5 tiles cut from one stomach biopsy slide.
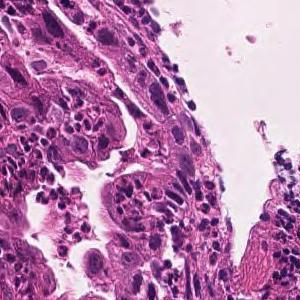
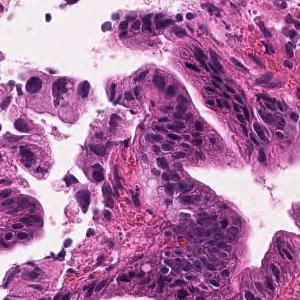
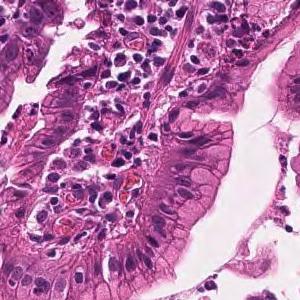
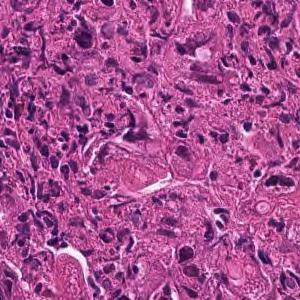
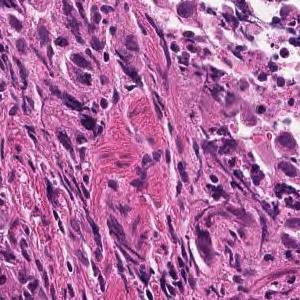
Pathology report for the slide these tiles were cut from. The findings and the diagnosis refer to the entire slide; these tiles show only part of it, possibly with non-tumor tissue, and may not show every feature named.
Medium to small, irregular glandular ducts are formed in the superficial epithelium, and in some cases, the glandular ducts are fused to show solid alveolar lesions and infiltrating tumor tissue is observed. Moderately to poorly differentiated adenocarcinoma.
